10 patches cut from one gastric biopsy slide.
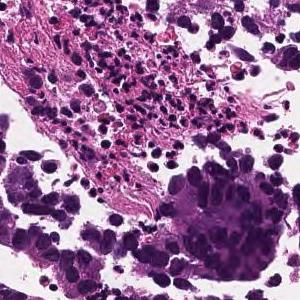
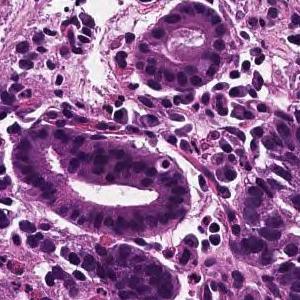
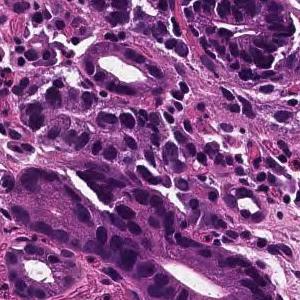
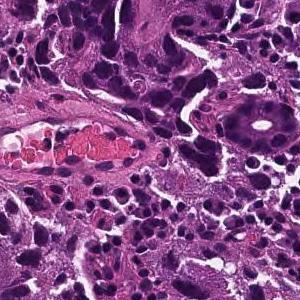
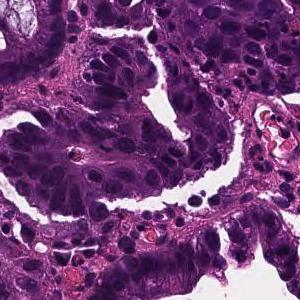
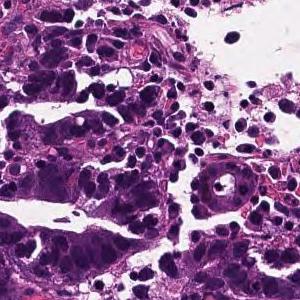
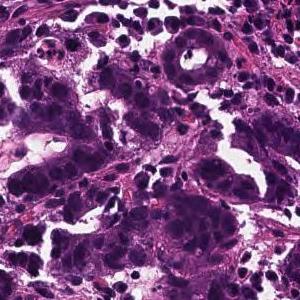
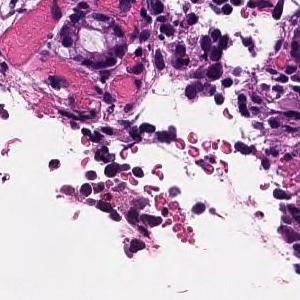
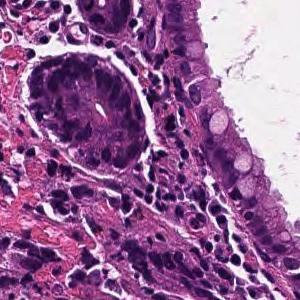
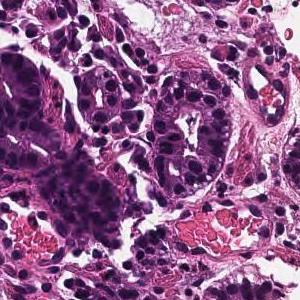
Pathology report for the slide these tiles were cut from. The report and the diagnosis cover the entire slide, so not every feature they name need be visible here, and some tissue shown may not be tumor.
In the superficial epithelium, tumor tissue that invades by forming medium-sized to small, irregular ducts is observed. moderately differentiated tubular adenocarcinoma.
